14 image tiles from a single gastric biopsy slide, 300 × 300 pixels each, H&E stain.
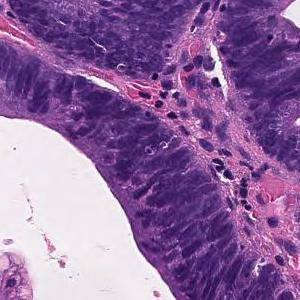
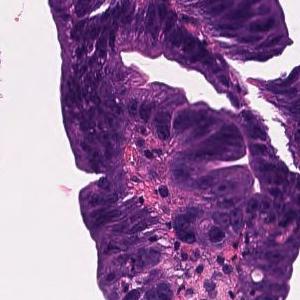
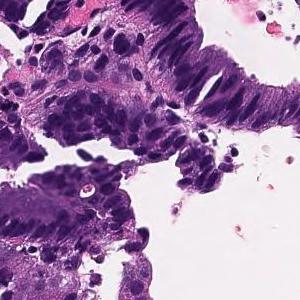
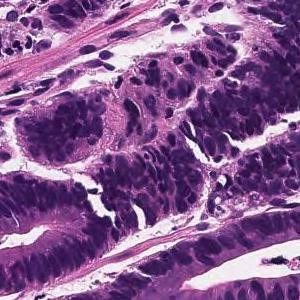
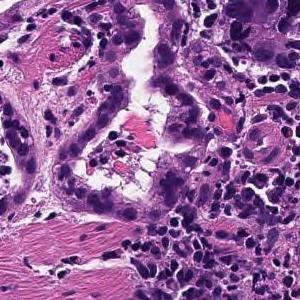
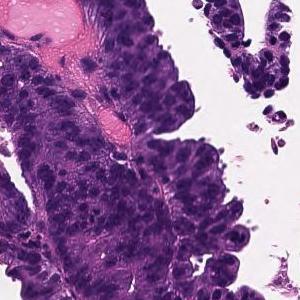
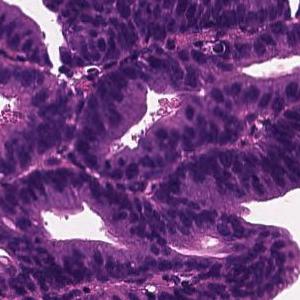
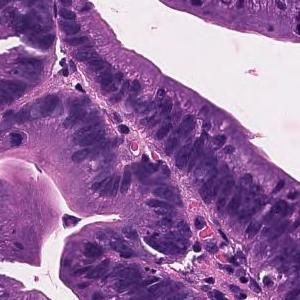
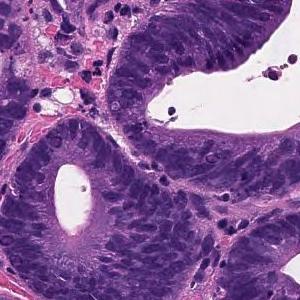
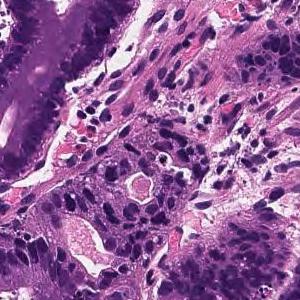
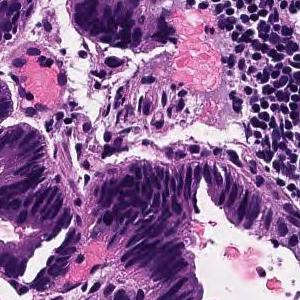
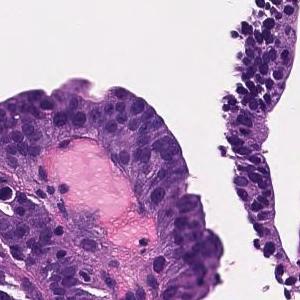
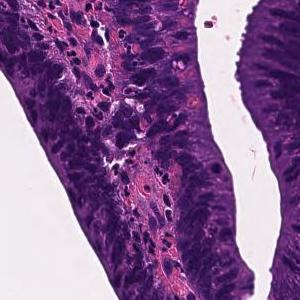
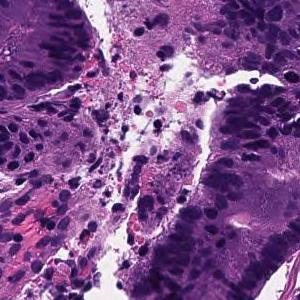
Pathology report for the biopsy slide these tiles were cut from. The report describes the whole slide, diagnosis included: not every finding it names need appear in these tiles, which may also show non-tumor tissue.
Tumor tissue consisting of large papillary structures is found in the superficial epithelium. Papillary adenocarcinoma.
